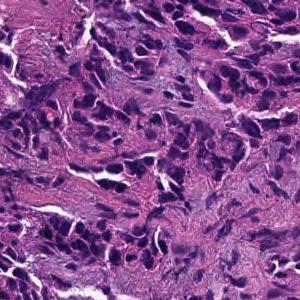
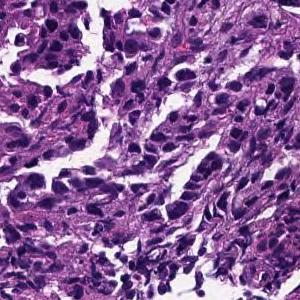
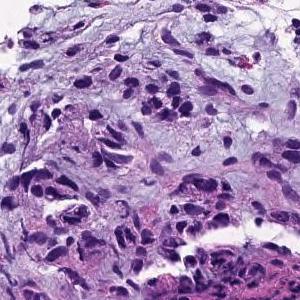
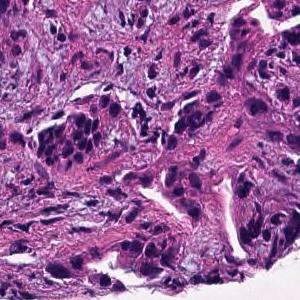
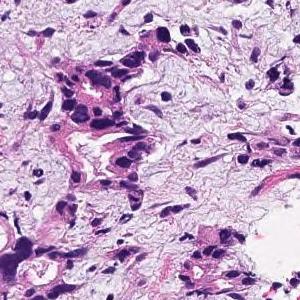
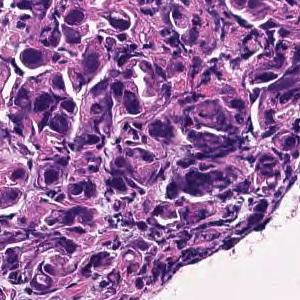
6 image tiles from a single gastric biopsy slide · 300×300 px each · 20× magnification.
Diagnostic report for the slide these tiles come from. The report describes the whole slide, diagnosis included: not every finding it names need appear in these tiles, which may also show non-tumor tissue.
Tumor tissue consisting of cord-like or small, irregular glandular ducts fused and infiltrated is observed in the superficial epithelium. Poorly differentiated adenocarcinoma, non-solid type
The non-solid type named here is a Japanese Classification of Gastric Carcinoma category.
